12 patches cut from one gastric biopsy slide, 300 × 300 pixels each, hematoxylin and eosin stain.
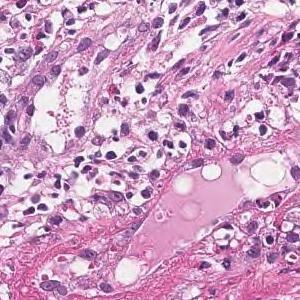
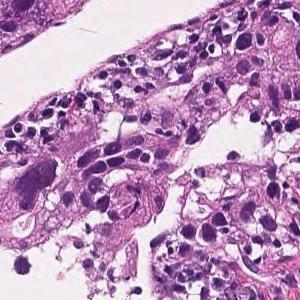
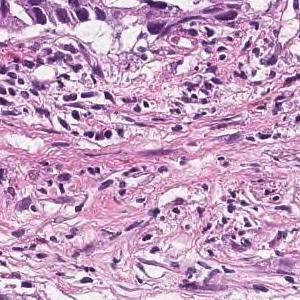
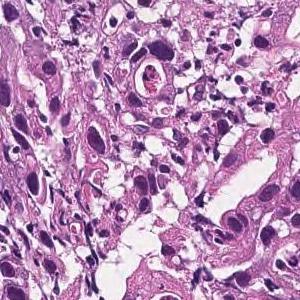
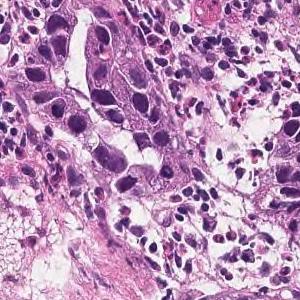
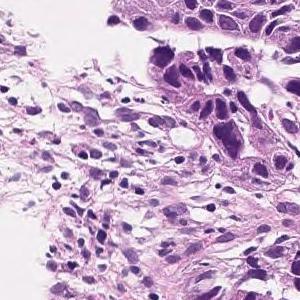
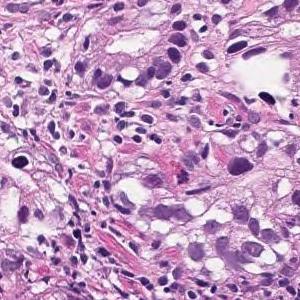
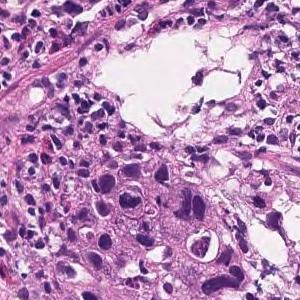
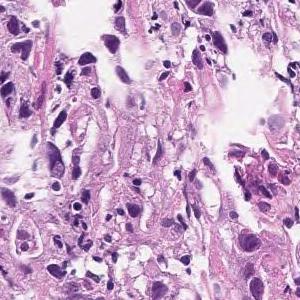
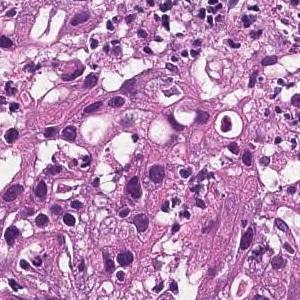
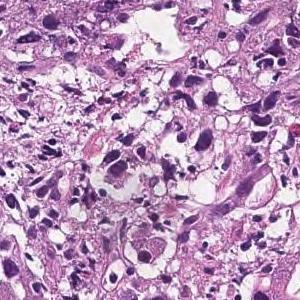
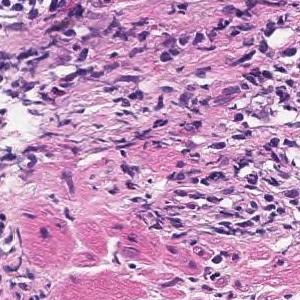
Pathology report for the biopsy slide these tiles were cut from. The report describes the whole slide, diagnosis included: not every finding it names need appear in these tiles, which may also show non-tumor tissue.
In the superficial epithelium, tumor tissue that invades by forming medium-sized to small, irregular ducts is observed. moderately differentiated tubular adenocarcinoma.
